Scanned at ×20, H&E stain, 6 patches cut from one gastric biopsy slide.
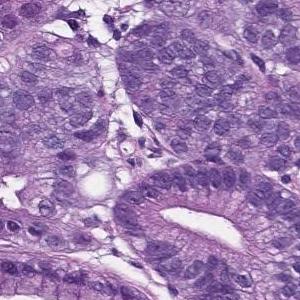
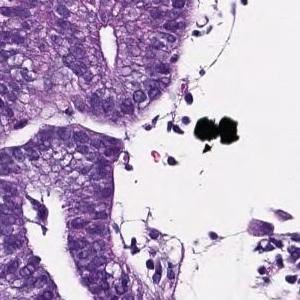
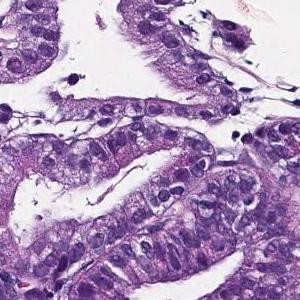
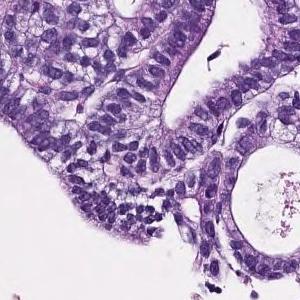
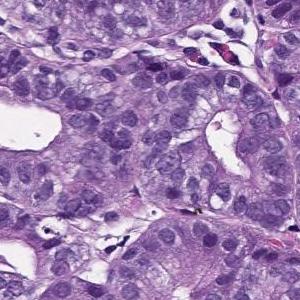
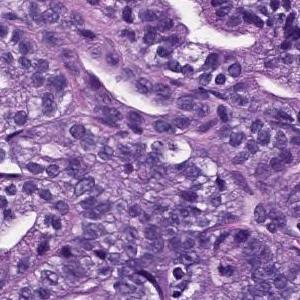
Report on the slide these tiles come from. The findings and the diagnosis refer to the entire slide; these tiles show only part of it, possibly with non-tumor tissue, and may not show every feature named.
On the superficial epithelium, tumor tissue that infiltrates by forming medium-sized papillary or small irregular ducts is observed. Papillary adenocarcinoma
